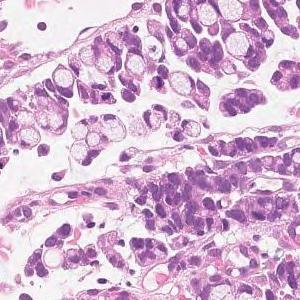
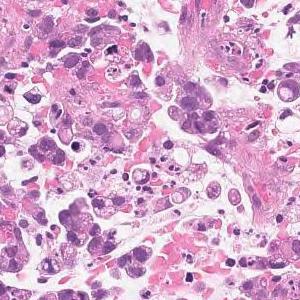
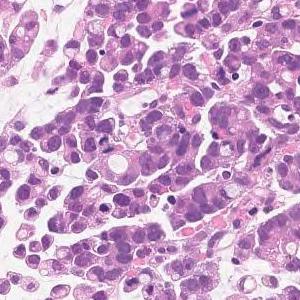
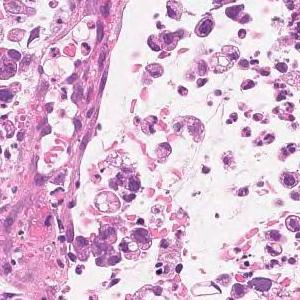
Hematoxylin and eosin stain; scanned at ×20; 4 image tiles from a single gastric biopsy slide.
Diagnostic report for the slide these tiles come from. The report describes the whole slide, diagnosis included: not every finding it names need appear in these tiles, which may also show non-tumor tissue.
Medium to small, irregular glandular ducts are formed in the superficial epithelium, and in some cases, the glandular ducts are fused to show solid alveolar lesions and infiltrating tumor tissue is observed. Moderately to poorly differentiated adenocarcinoma.
